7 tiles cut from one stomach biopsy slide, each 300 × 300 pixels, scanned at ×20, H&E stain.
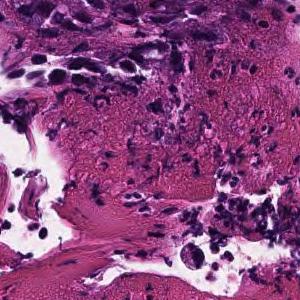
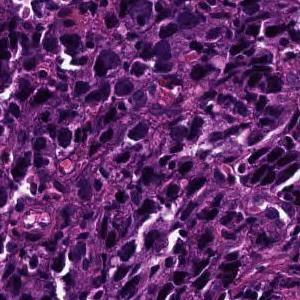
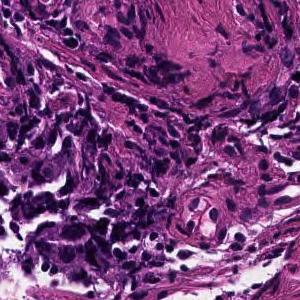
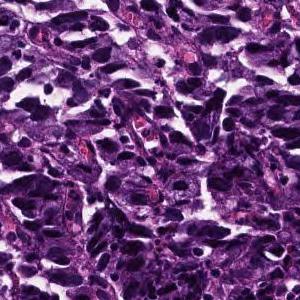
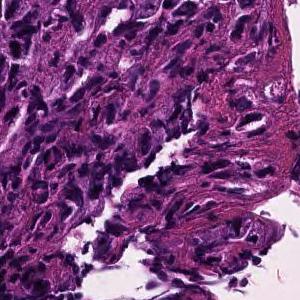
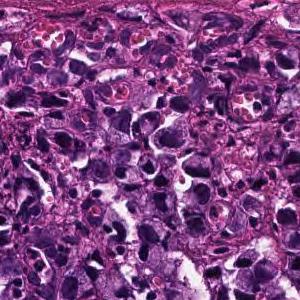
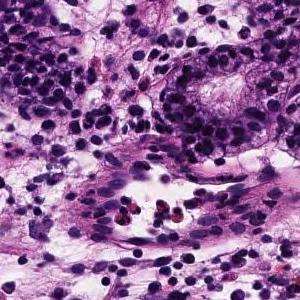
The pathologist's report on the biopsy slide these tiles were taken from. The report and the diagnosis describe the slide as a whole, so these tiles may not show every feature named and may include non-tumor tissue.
The superficial epithelium shows a large sheet-like shape, and some tumor tissues infiltrate with a small cord-like structure. Poorly differentiated adenocarcinoma, solid type (poorly differentiated adenocarcinoma, solid type)
Subtype: Poorly differentiated adenocarcinoma, solid type, a category of the Japanese Classification of Gastric Carcinoma; in the WHO 2019 classification it is tubular adenocarcinoma, poorly differentiated.
